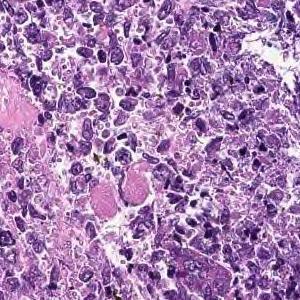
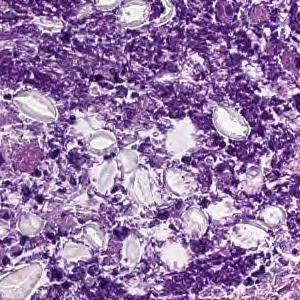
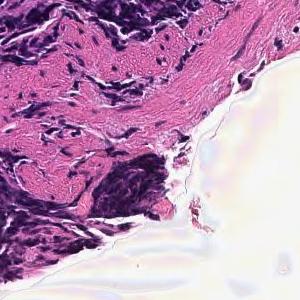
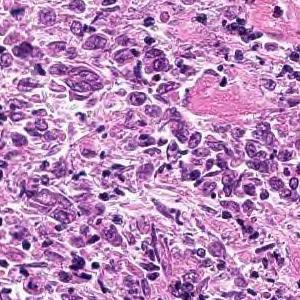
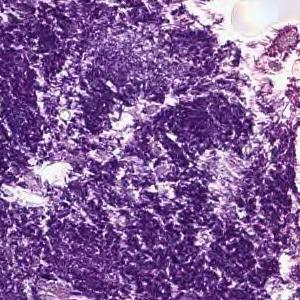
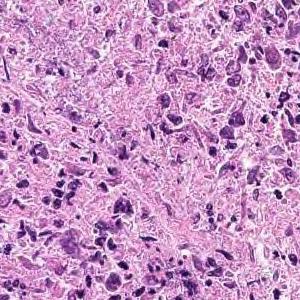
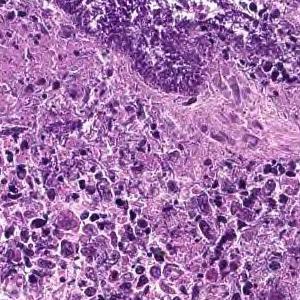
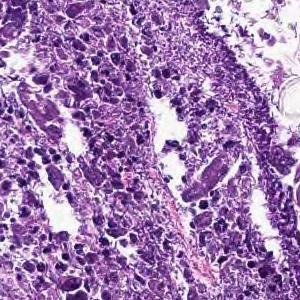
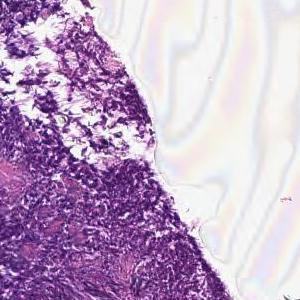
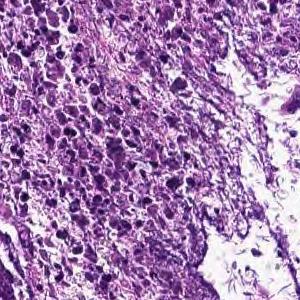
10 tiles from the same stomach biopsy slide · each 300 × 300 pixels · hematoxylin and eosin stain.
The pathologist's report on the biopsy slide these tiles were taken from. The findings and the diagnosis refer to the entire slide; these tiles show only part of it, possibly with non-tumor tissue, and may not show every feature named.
Cancers with polygonal nuclei do not show glandular formation and are densely, in part, cord-like and proliferate. Poorly differentiated adenocarcinoma
Subtype: Poorly differentiated adenocarcinoma, non-solid type.
The non-solid type named here is a Japanese Classification of Gastric Carcinoma category.
